Scanned at ×20 · H&E · 9 patches cut from one gastric biopsy slide · 300×300 px each.
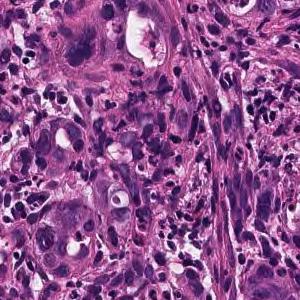
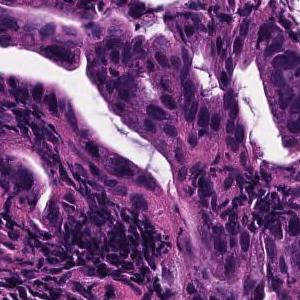
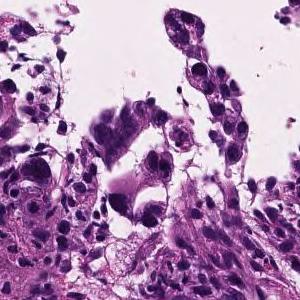
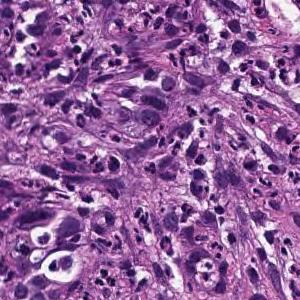
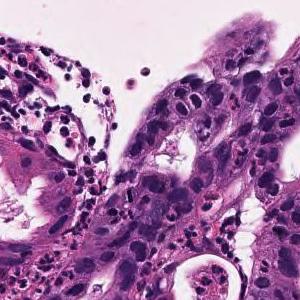
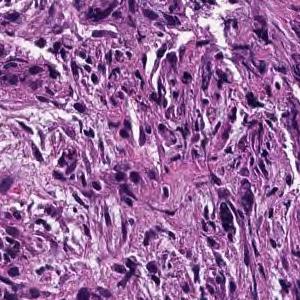
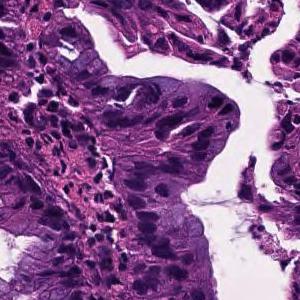
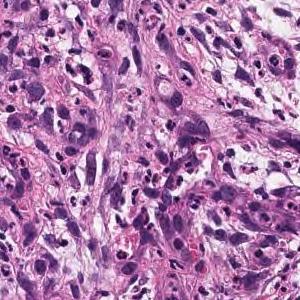
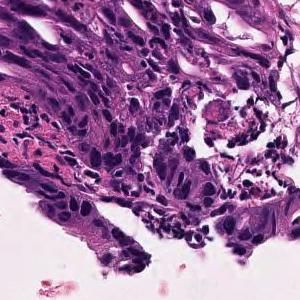
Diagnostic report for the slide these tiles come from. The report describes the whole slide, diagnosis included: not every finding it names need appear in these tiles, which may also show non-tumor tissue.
In the superficial epithelium, medium-sized to small irregular glandular ducts are formed, and in some cases, the glandular ducts are fused or small cord-like infiltrating tumor tissue is observed. moderately differentiated tubular adenocarcinoma
